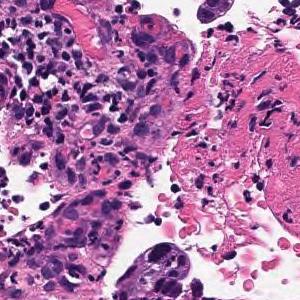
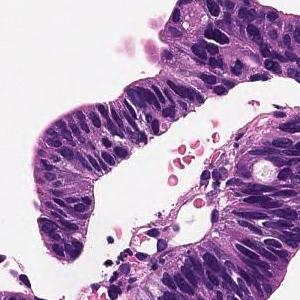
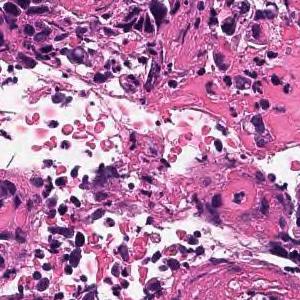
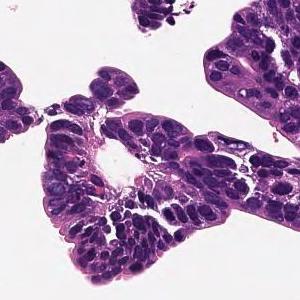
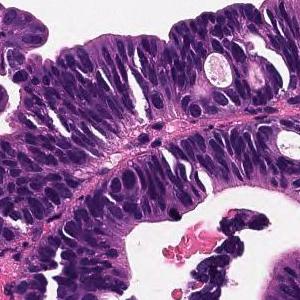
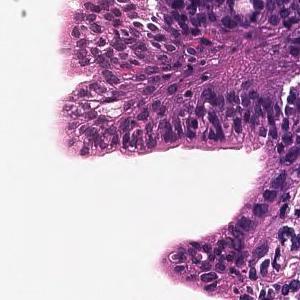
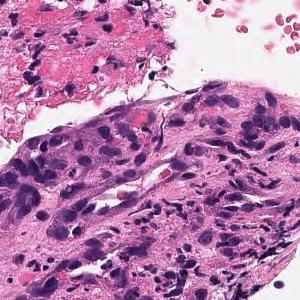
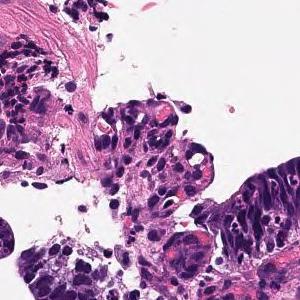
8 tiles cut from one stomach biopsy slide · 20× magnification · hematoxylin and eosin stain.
The pathologist's report on the biopsy slide these tiles were taken from. The report and the diagnosis describe the slide as a whole, so these tiles may not show every feature named and may include non-tumor tissue.
Tumor cells are large, highly columnar, large club-shaped nuclei, and are associated with chromatin aggregation. Papillary adenocarcinoma.
